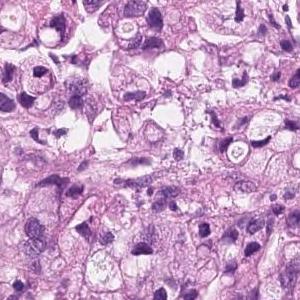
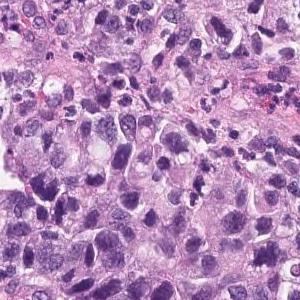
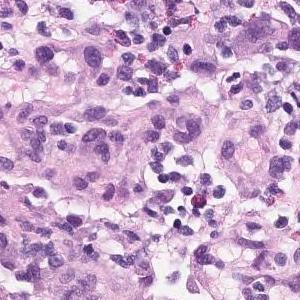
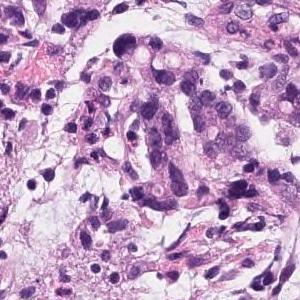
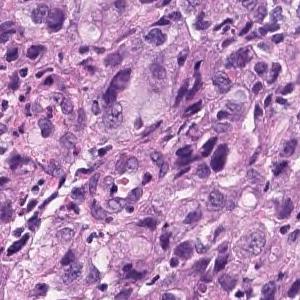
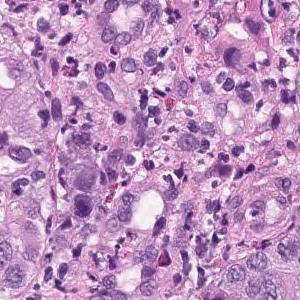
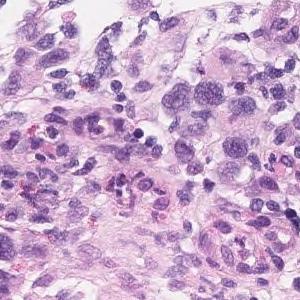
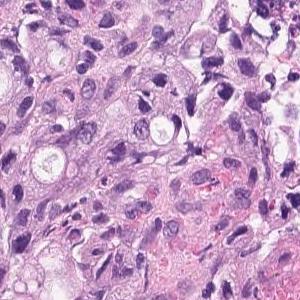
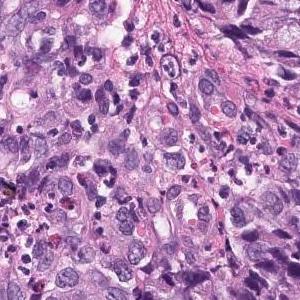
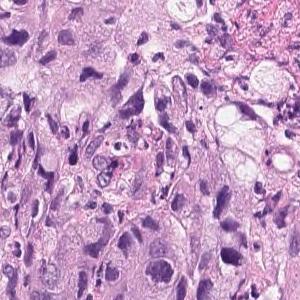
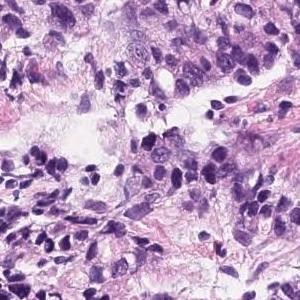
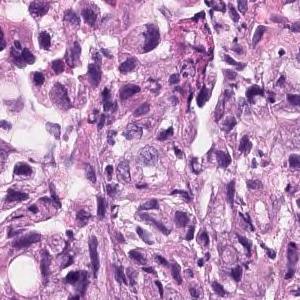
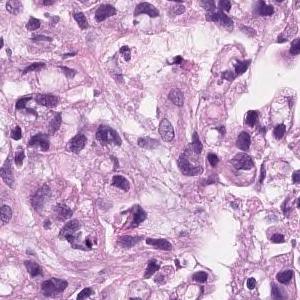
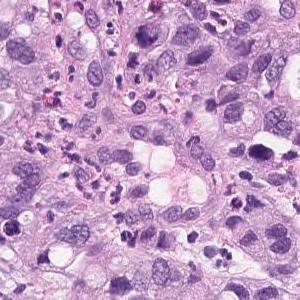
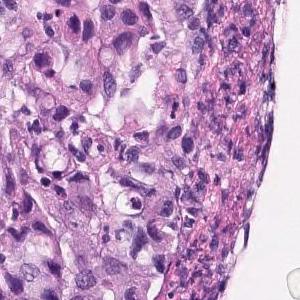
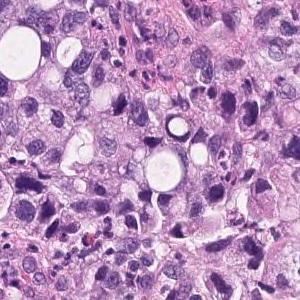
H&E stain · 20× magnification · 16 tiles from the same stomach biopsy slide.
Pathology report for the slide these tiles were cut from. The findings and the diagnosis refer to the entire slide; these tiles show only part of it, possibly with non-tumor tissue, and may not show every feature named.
Group 5, Adenocarcinoma. Poorly differentiated adenocarcinoma, non-solid type
The term "non-solid type" comes from the Japanese Classification of Gastric Carcinoma.
